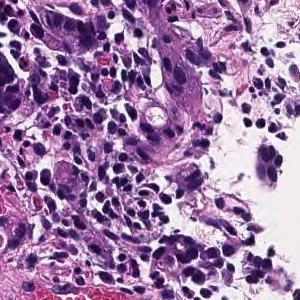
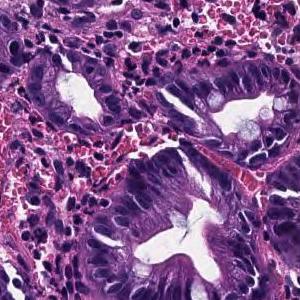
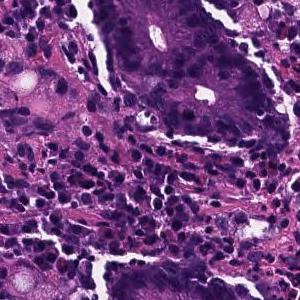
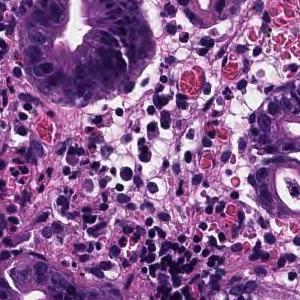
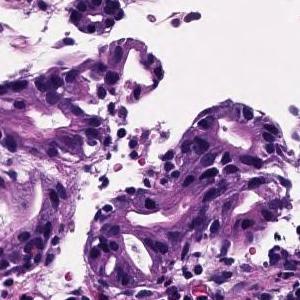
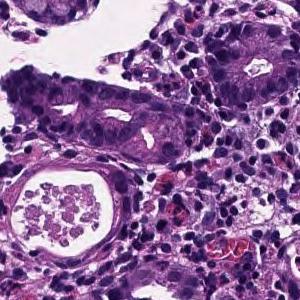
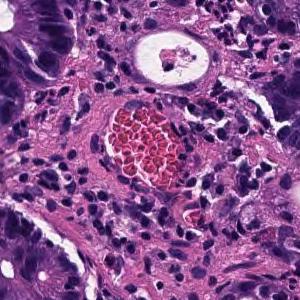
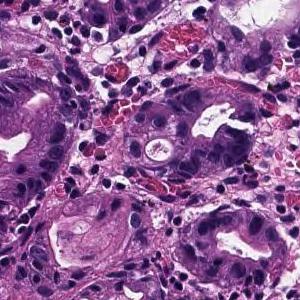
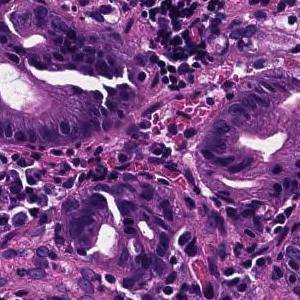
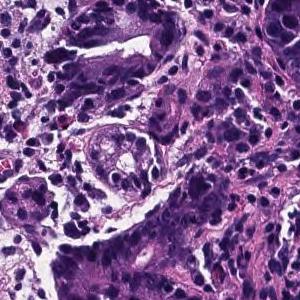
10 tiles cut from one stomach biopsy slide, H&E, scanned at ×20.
Report on the slide these tiles come from. The report and the diagnosis cover the entire slide, so not every feature they name need be visible here, and some tissue shown may not be tumor.
In the superficial epithelium, tumor tissue that invades by forming medium-sized to small, irregular ducts is observed. moderately differentiated tubular adenocarcinoma.
